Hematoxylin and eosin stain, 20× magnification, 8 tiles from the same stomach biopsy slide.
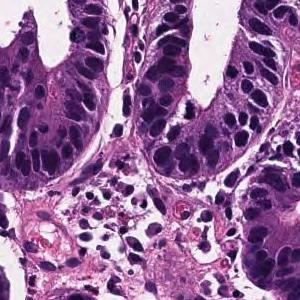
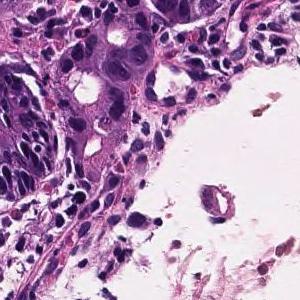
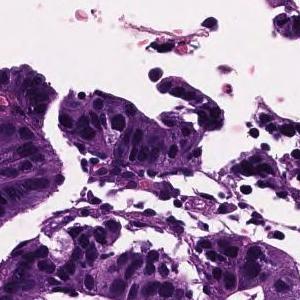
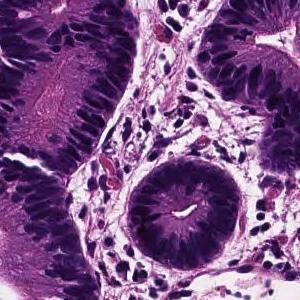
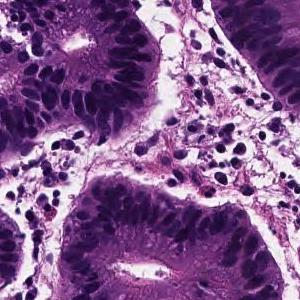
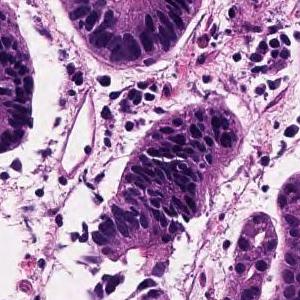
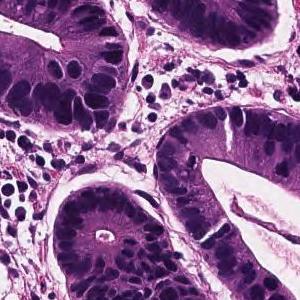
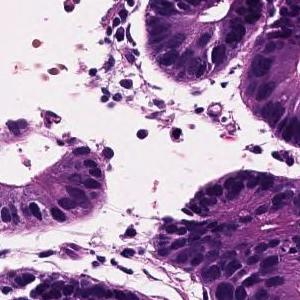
Diagnostic report for the slide these tiles come from. The findings and the diagnosis refer to the entire slide; these tiles show only part of it, possibly with non-tumor tissue, and may not show every feature named.
From the superficial epithelium to the muscularis mucosae, tumor tissue consisting of medium-sized and irregular glandular ducts infiltrating is observed. Well differentiated tubular adenocarcinoma
